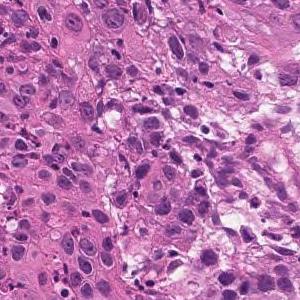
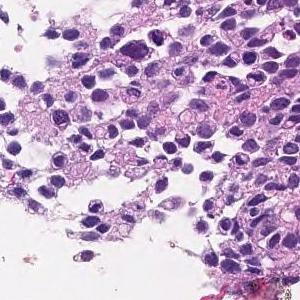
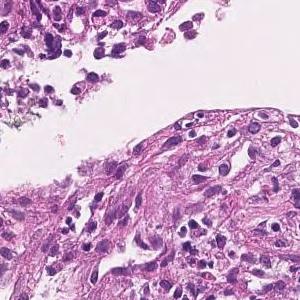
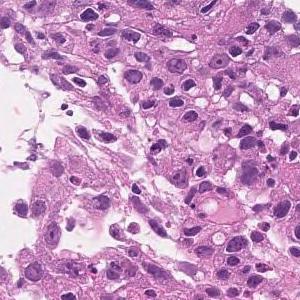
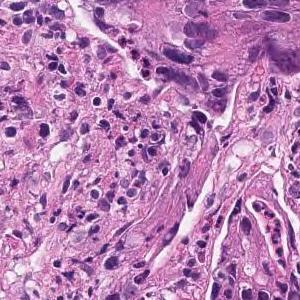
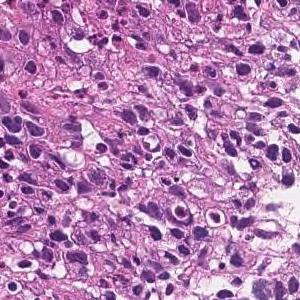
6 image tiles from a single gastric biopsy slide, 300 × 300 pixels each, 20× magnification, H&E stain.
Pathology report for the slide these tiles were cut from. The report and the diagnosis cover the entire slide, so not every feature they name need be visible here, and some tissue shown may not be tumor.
The superficial epithelium shows a large sheet-like shape, and some tumor tissue infiltrates with small irregular ducts. Poorly differentiated adenocarcinoma, solid-type
Histological subtype: Poorly differentiated adenocarcinoma, solid type, a category of the Japanese Classification of Gastric Carcinoma; in the WHO 2019 classification it is tubular adenocarcinoma, poorly differentiated.
